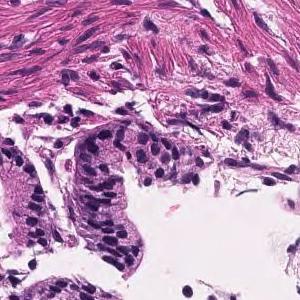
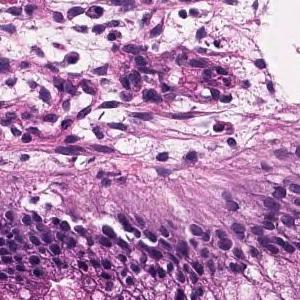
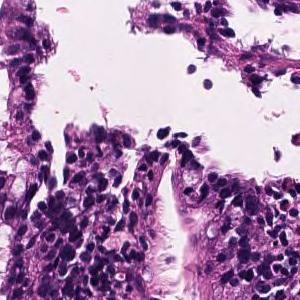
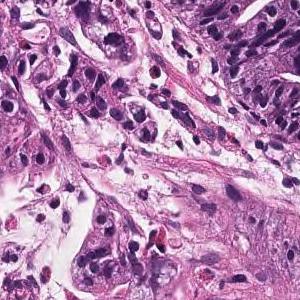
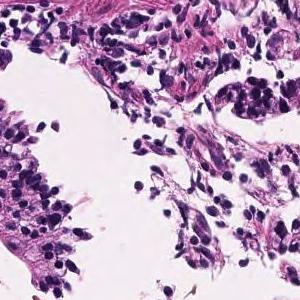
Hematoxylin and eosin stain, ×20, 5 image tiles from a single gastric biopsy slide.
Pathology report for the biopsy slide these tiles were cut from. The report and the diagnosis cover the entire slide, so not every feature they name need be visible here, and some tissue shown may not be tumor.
Tumor tissue consisting of large papillary structures or irregular glandular ducts partially fused and infiltrated is observed in the superficial epithelium. Well to moderately differentiated tubular adenocarcinoma.
The dataset labels this slide moderately differentiated tubular adenocarcinoma.
